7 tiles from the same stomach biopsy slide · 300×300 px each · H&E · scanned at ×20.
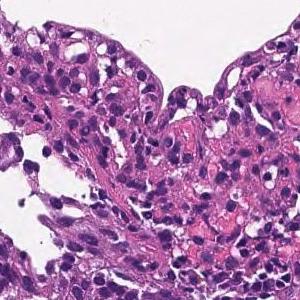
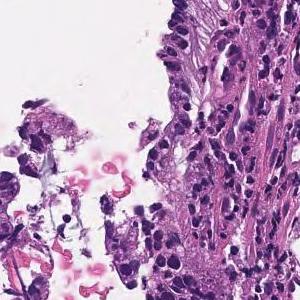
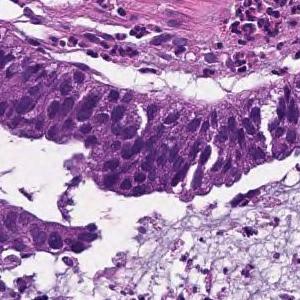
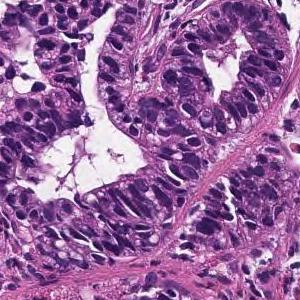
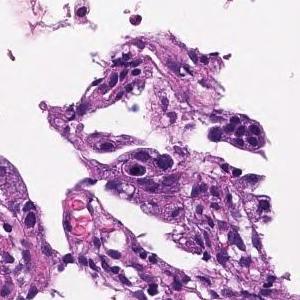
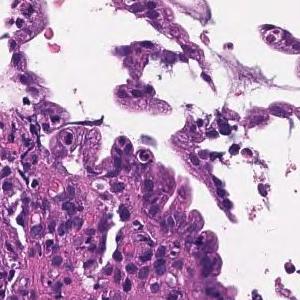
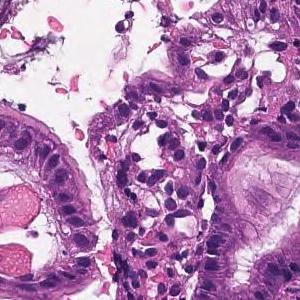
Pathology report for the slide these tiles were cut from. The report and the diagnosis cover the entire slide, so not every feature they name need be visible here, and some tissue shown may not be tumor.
From the superficial epithelium to the muscularis mucosae, tumor tissue consisting of medium-sized and irregular glandular ducts infiltrating is observed. Well differentiated tubular adenocarcinoma
